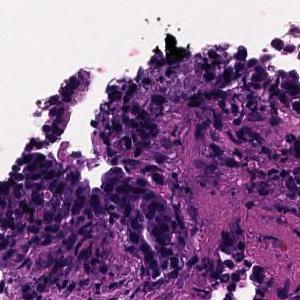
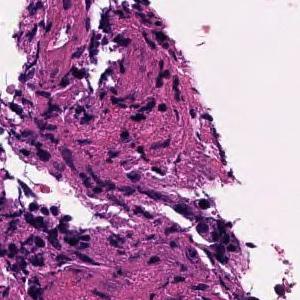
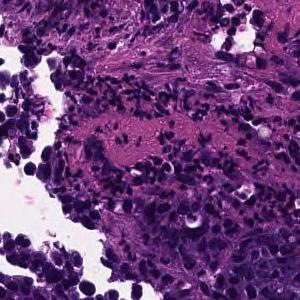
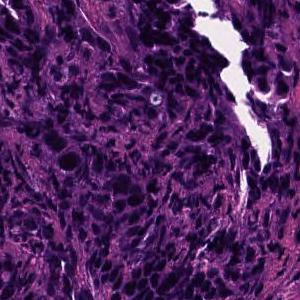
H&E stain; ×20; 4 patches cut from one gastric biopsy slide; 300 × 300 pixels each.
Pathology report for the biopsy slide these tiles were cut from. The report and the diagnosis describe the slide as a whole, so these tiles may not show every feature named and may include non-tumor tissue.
In the superficial epithelium, tumor tissue that invades by forming medium-sized to small, irregular ducts is observed. moderately differentiated tubular adenocarcinoma.
